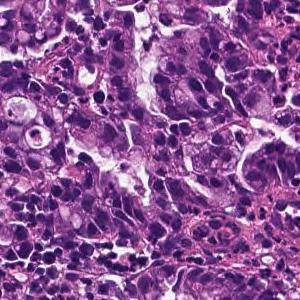
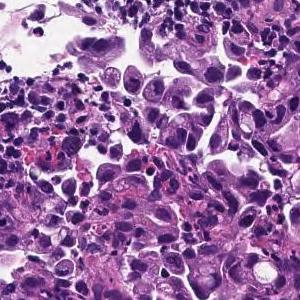
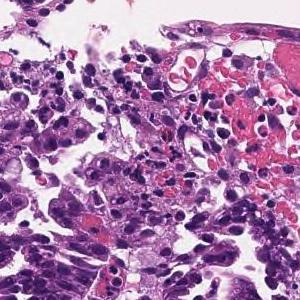
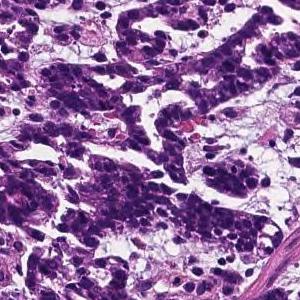
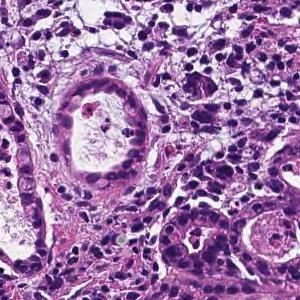
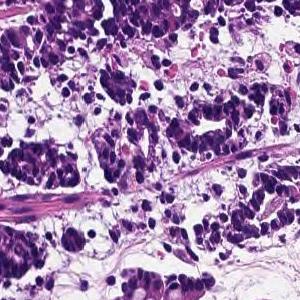
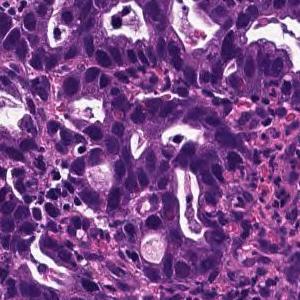
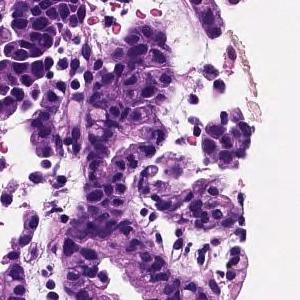
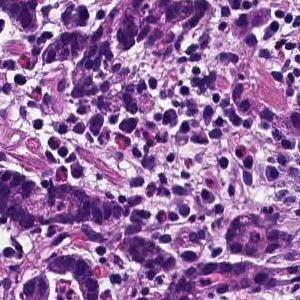
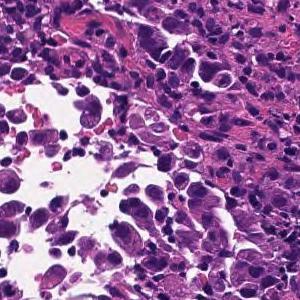
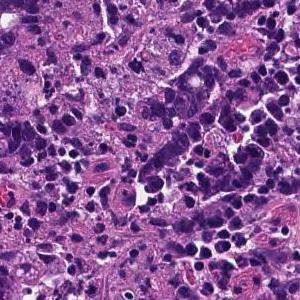
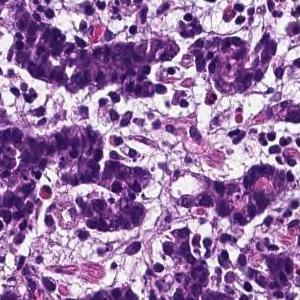
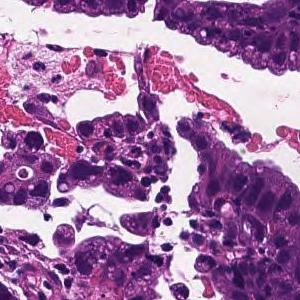
H&E stain · 13 patches cut from one gastric biopsy slide · each 300 × 300 pixels.
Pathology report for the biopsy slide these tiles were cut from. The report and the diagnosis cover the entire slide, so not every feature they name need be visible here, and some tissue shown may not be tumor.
In the superficial epithelium, tumor tissue that invades by forming medium-sized to small, irregular ducts is observed. moderately differentiated tubular adenocarcinoma.
